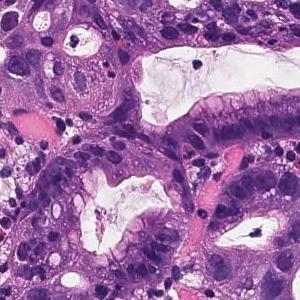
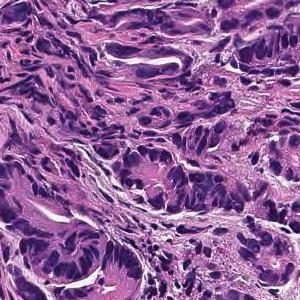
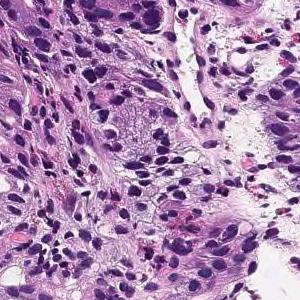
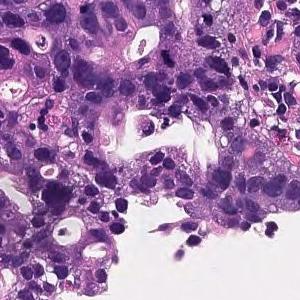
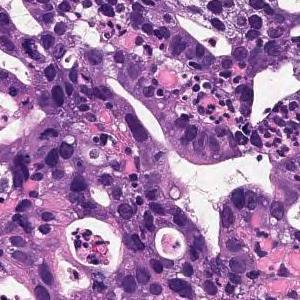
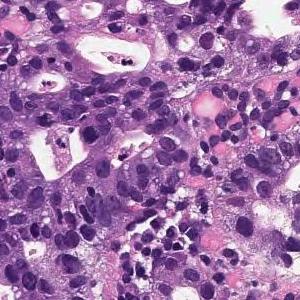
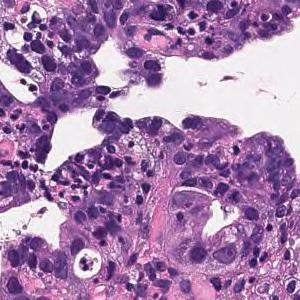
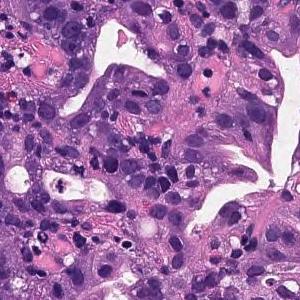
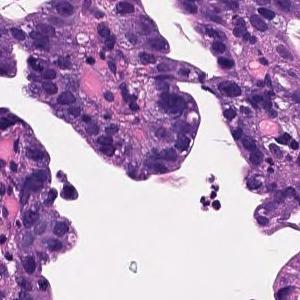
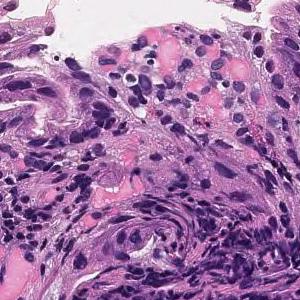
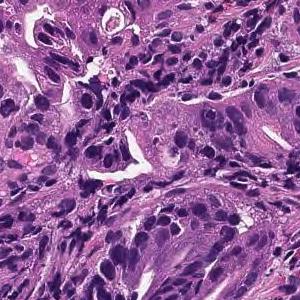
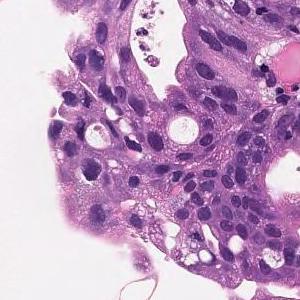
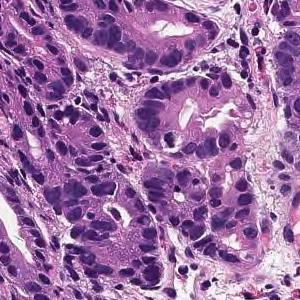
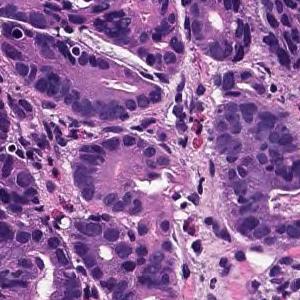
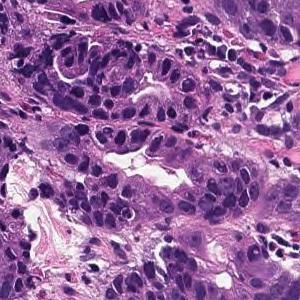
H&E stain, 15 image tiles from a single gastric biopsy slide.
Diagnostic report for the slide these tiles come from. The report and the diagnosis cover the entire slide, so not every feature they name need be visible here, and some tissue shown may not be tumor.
On the superficial epithelium, tumor tissue consisting of large, irregular glandular ducts partially fused and infiltrated is observed. Well to moderately differentiated tubular adenocarcinoma (well differentiated tubular adenocarcinoma, moderately differentiated tubular adenocarcinoma)
Histological subtype: Well to moderately differentiated tubular adenocarcinoma.
